13 tiles cut from one stomach biopsy slide, scanned at ×20, H&E.
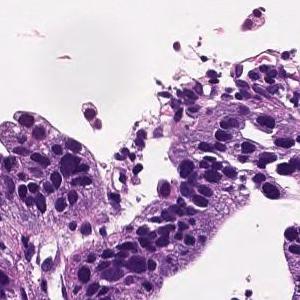
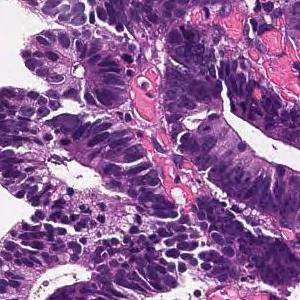
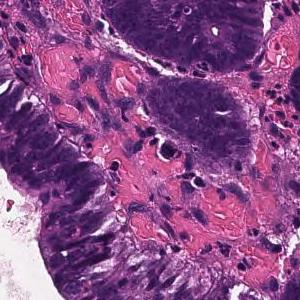
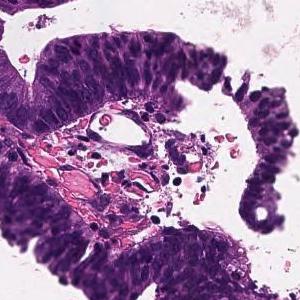
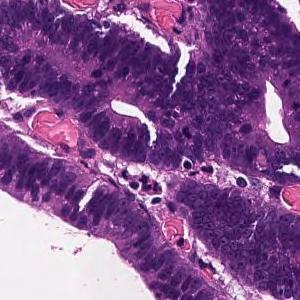
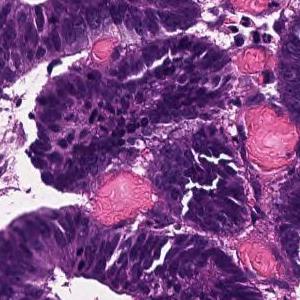
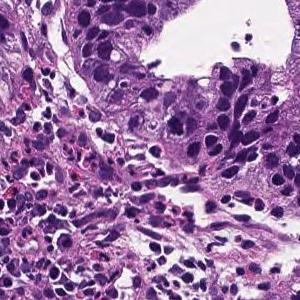
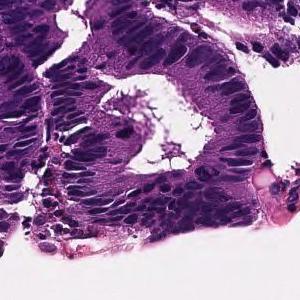
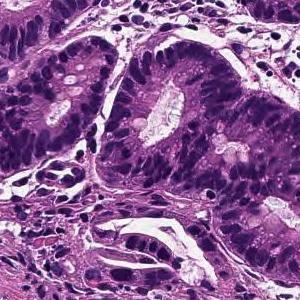
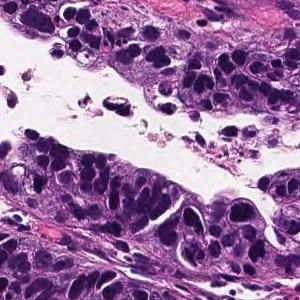
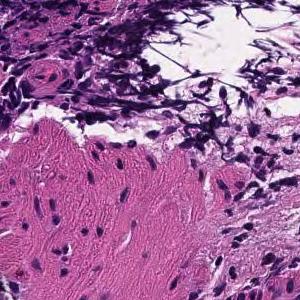
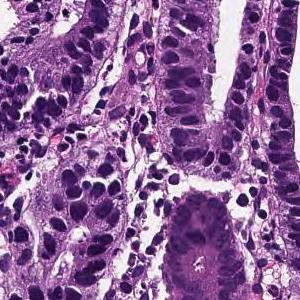
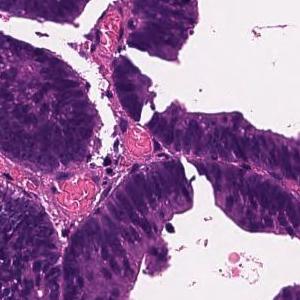
Diagnostic report for the slide these tiles come from. The report and the diagnosis describe the slide as a whole, so these tiles may not show every feature named and may include non-tumor tissue.
Tumor tissue consisting of large papillary structures is found in the superficial epithelium. Papillary adenocarcinoma.
